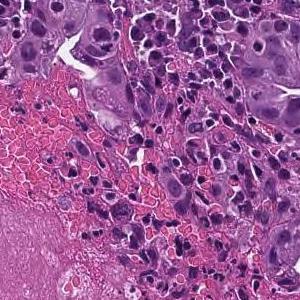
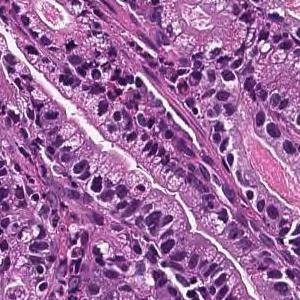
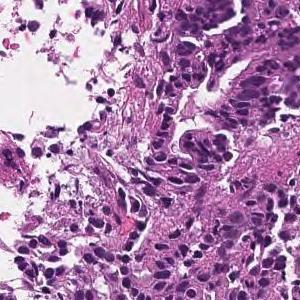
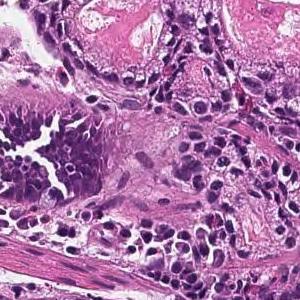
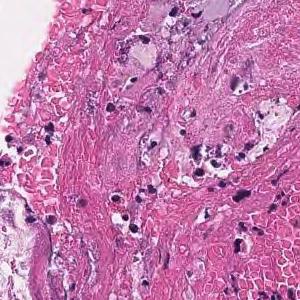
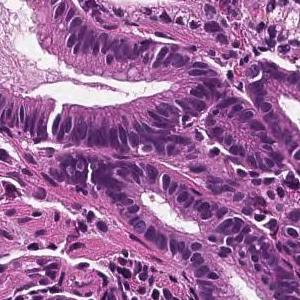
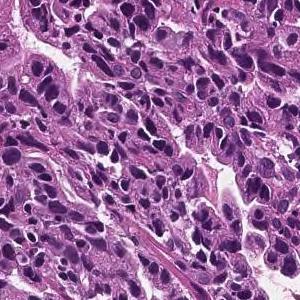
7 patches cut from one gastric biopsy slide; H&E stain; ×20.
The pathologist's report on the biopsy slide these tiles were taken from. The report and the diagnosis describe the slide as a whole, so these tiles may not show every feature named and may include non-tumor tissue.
On the superficial epithelium, tumor tissue that infiltrates by forming medium-sized papillary or small irregular ducts is observed. Papillary adenocarcinoma
